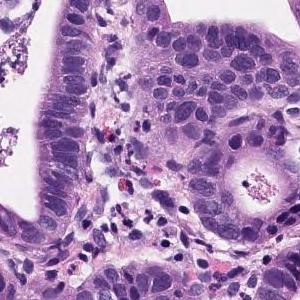
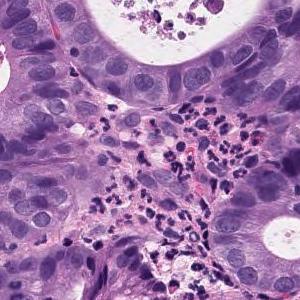
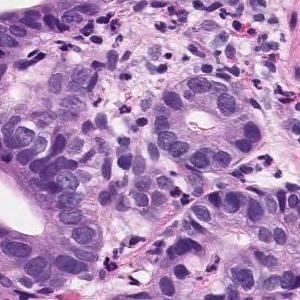
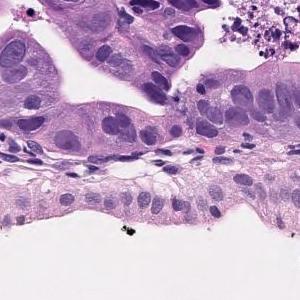
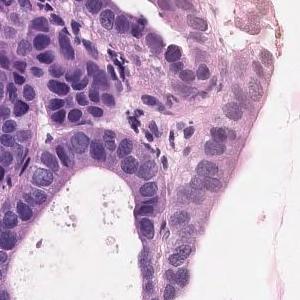
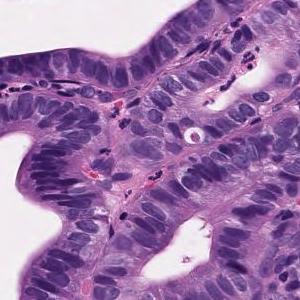
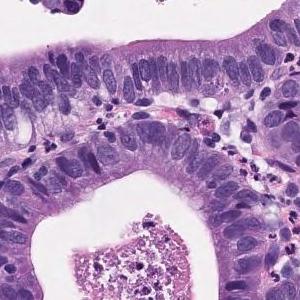
7 image tiles from a single gastric biopsy slide, ×20, H&E stain.
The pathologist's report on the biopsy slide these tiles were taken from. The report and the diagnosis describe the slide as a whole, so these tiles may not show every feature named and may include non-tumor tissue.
Tumor tissue consisting of proliferative medium to large, round or irregular glandular ducts in the superficial epithelium. Well differentiated adenocarcinoma.
Histological subtype: Well differentiated tubular adenocarcinoma.
